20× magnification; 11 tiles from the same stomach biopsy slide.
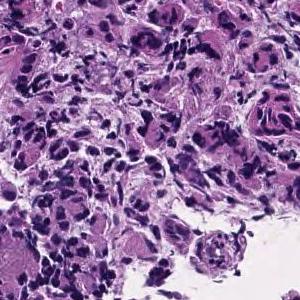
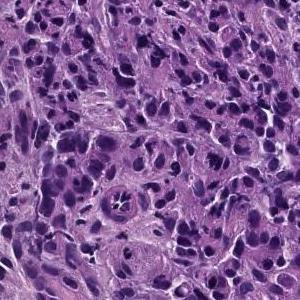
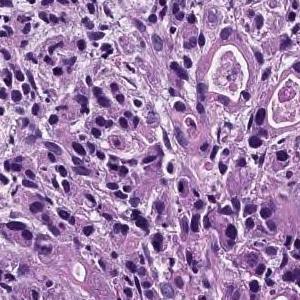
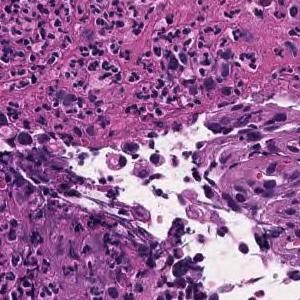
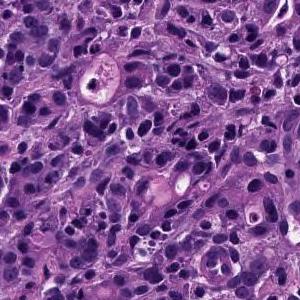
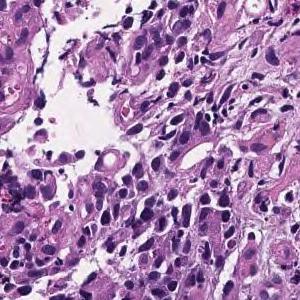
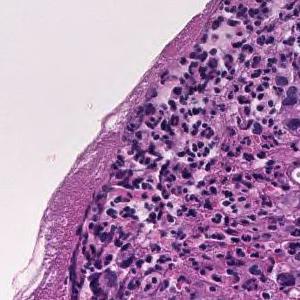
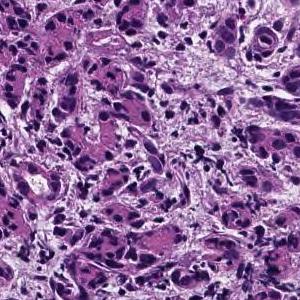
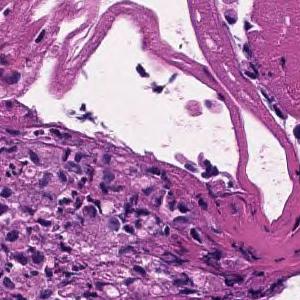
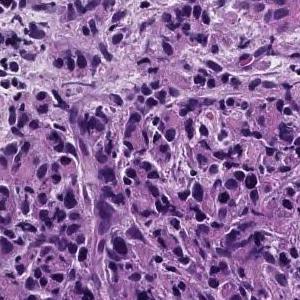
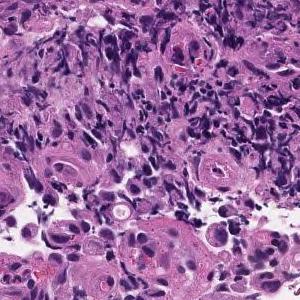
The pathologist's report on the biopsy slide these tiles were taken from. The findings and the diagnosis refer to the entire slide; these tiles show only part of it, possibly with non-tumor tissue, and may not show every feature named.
The superficial epithelium shows a large sheet-like shape, and some tumor tissue infiltrates with small irregular ducts. Poorly differentiated adenocarcinoma, solid-type
Tumor subtype: poorly differentiated adenocarcinoma, solid type, a category of the Japanese Classification of Gastric Carcinoma; in the WHO 2019 classification it is tubular adenocarcinoma, poorly differentiated.
